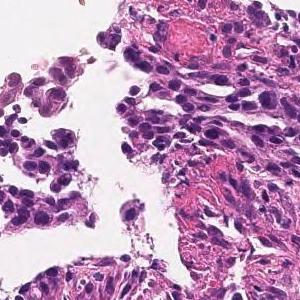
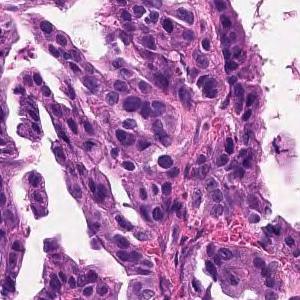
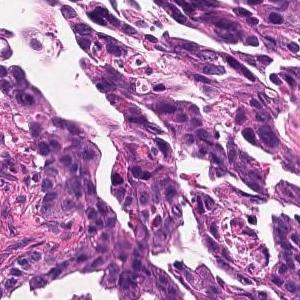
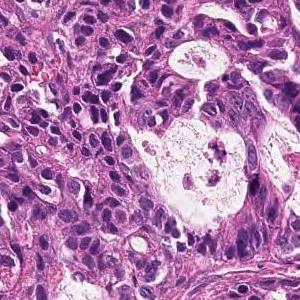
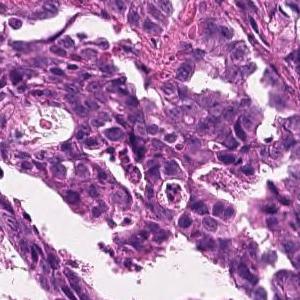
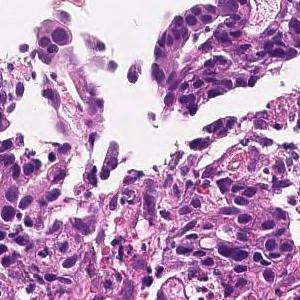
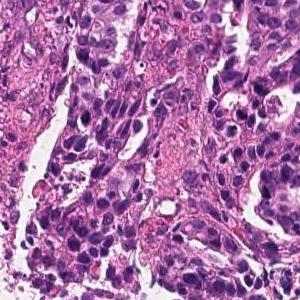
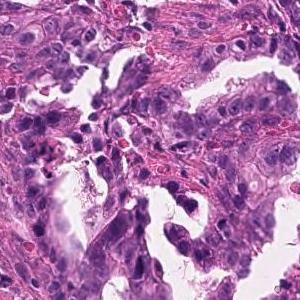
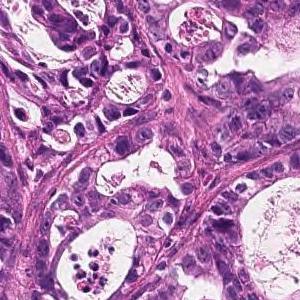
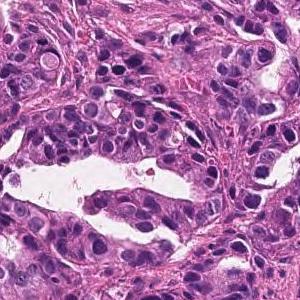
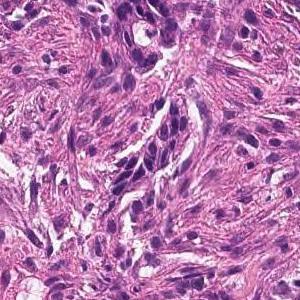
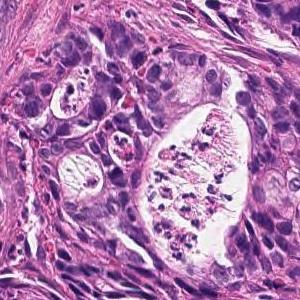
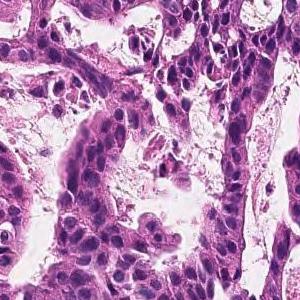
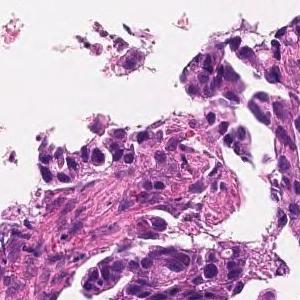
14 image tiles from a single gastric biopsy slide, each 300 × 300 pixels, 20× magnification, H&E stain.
The pathologist's report on the biopsy slide these tiles were taken from. The findings and the diagnosis refer to the entire slide; these tiles show only part of it, possibly with non-tumor tissue, and may not show every feature named.
On the superficial epithelium, tumor tissue consisting of images of small to medium-sized and irregular tubules infiltrating with irregular fusion is observed. moderately differentiated tubular adenocarcinoma
